Hematoxylin and eosin stain; scanned at ×20; 7 tiles cut from one stomach biopsy slide.
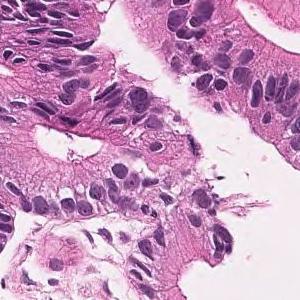
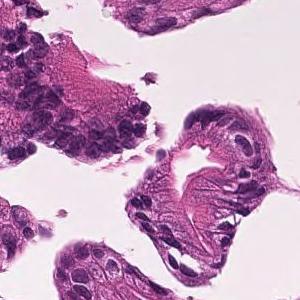
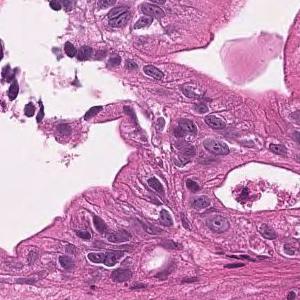
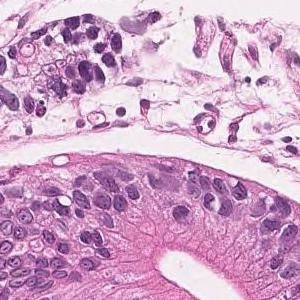
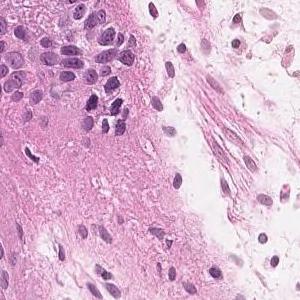
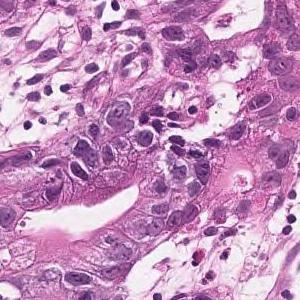
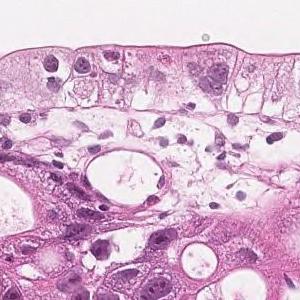
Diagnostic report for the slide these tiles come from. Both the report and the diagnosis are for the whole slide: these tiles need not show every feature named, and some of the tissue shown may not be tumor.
On the superficial epithelium, tumor tissue that infiltrates by forming medium-sized papillary or small irregular ducts is observed. Papillary adenocarcinoma
